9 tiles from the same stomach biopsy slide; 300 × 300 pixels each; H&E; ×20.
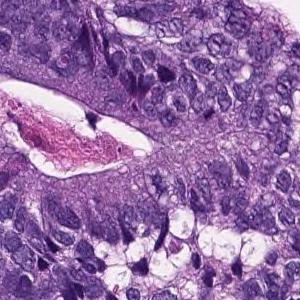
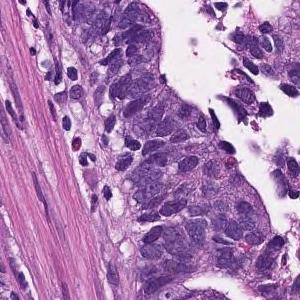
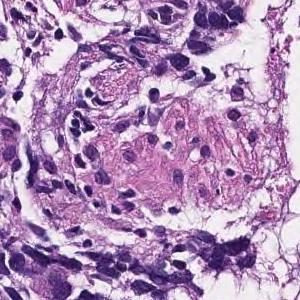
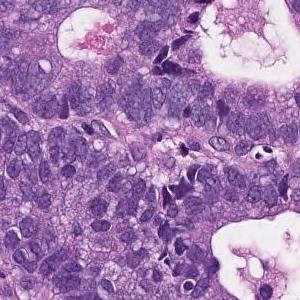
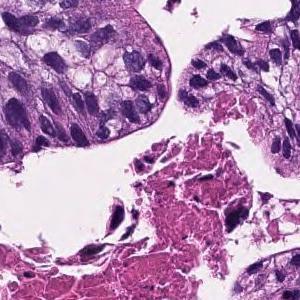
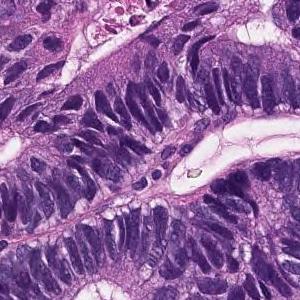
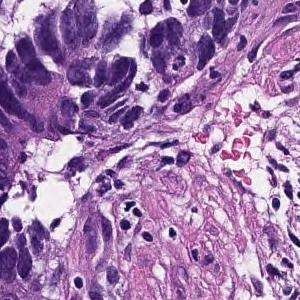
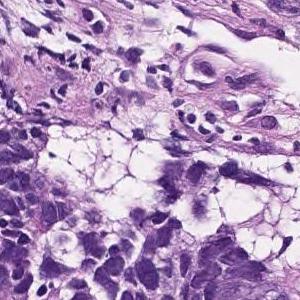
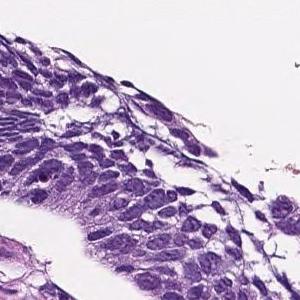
Diagnostic report for the slide these tiles come from. The report and the diagnosis describe the slide as a whole, so these tiles may not show every feature named and may include non-tumor tissue.
In the superficial epithelium, tumor tissue that invades by forming medium-sized to small, irregular ducts is observed. moderately differentiated tubular adenocarcinoma.
